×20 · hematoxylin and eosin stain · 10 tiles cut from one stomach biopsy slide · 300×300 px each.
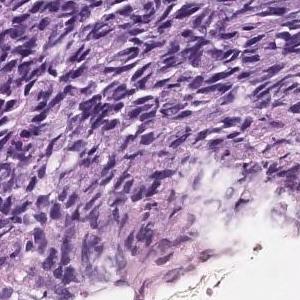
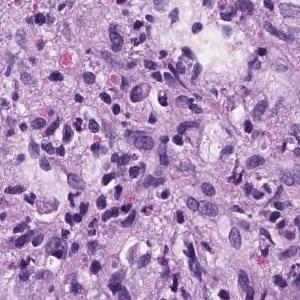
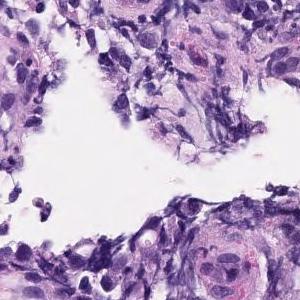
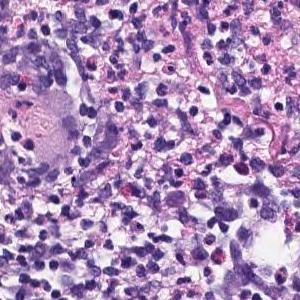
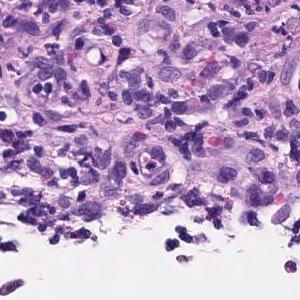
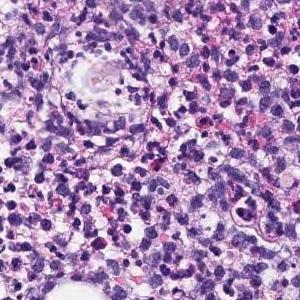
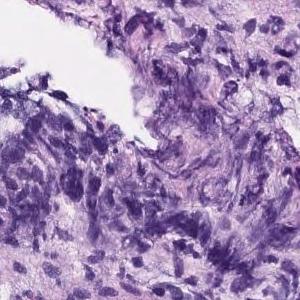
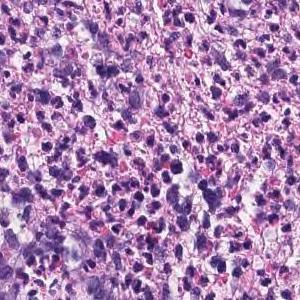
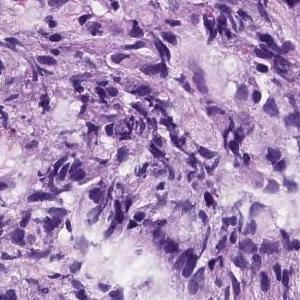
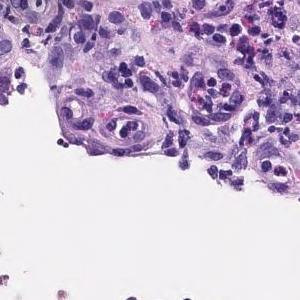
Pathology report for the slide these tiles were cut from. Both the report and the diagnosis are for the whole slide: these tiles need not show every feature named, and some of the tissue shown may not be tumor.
The superficial epithelium shows a large sheet-like shape, and some tumor tissue infiltrates with small irregular ducts. Poorly differentiated adenocarcinoma, solid-type
Histologic type: Poorly differentiated adenocarcinoma, solid type (Japanese Classification of Gastric Carcinoma). The WHO 2019 equivalent is tubular adenocarcinoma, poorly differentiated.
